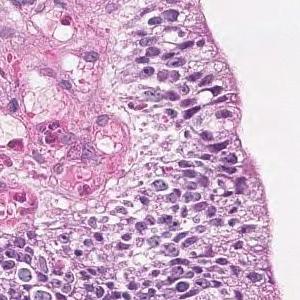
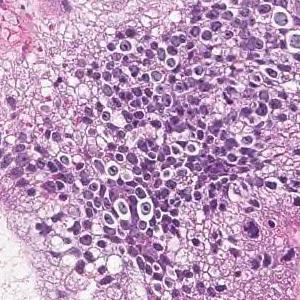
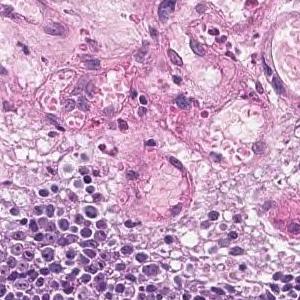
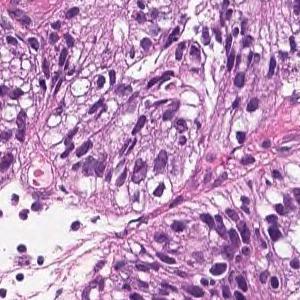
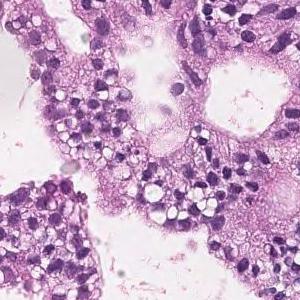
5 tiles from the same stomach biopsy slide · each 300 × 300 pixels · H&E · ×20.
The pathologist's report on the biopsy slide these tiles were taken from. The report describes the whole slide, diagnosis included: not every finding it names need appear in these tiles, which may also show non-tumor tissue.
On the superficial epithelium, tumor tissue that infiltrates by forming medium-sized papillary or small irregular ducts is observed. Papillary adenocarcinoma
